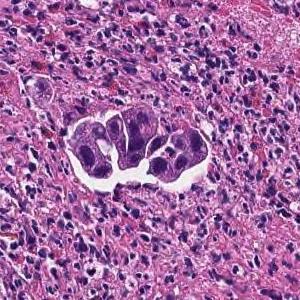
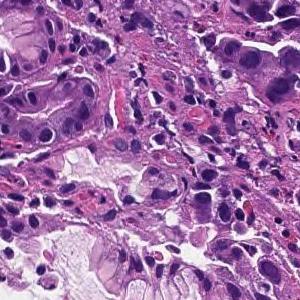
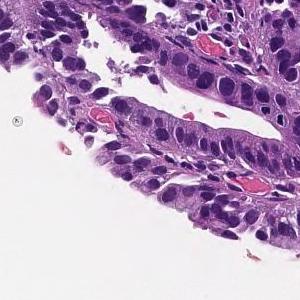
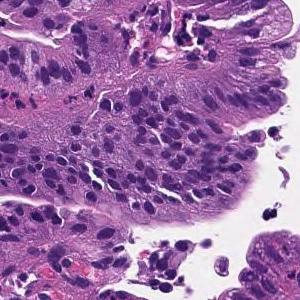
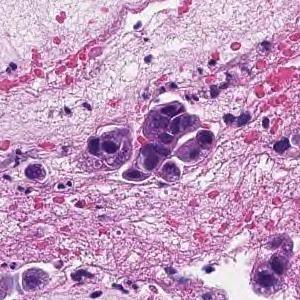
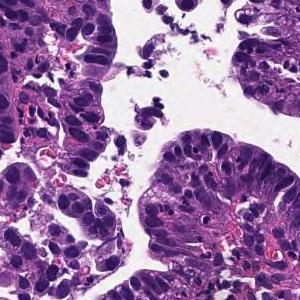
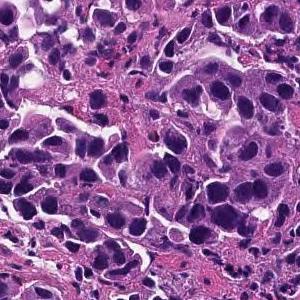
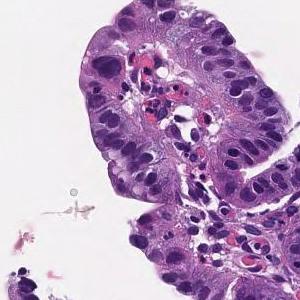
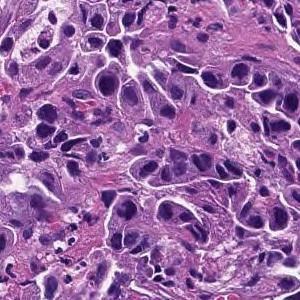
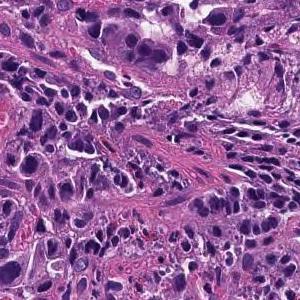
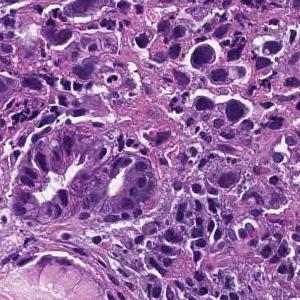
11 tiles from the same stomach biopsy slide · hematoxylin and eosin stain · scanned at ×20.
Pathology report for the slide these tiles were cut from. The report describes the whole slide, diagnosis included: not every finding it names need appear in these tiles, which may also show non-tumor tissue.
Tumor tissue consisting of medium-sized, cord-like or irregular glandular infiltration is observed in the superficial epithelium. Poorly differentiated adenocarcinoma, non-solid type or moderately differentiated tubular adenocarcinoma
Tumor subtype: moderately to poorly differentiated adenocarcinoma.
The non-solid type named here is a Japanese Classification of Gastric Carcinoma category.
